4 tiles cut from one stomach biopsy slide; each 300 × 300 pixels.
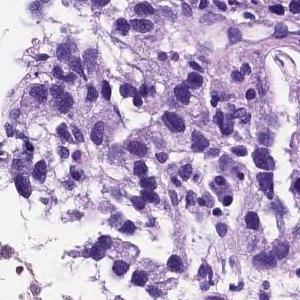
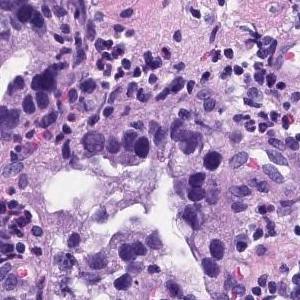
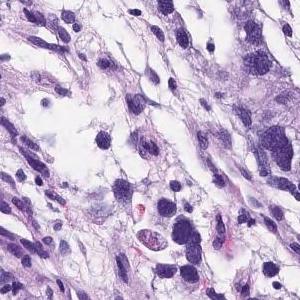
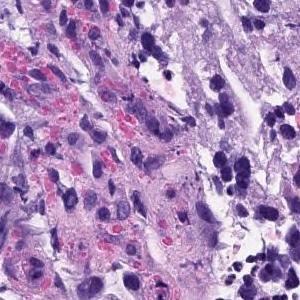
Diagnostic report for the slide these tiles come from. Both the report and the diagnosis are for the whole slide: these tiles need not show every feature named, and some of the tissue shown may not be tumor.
Medium to small, irregular glandular ducts are formed in the superficial epithelium, and in some cases, the glandular ducts are fused to show solid alveolar lesions and infiltrating tumor tissue is observed. Poorly differentiated adenocarcinoma, Moderately differentiated adenocarcinoma.
The dataset labels this slide moderately differentiated tubular adenocarcinoma.
